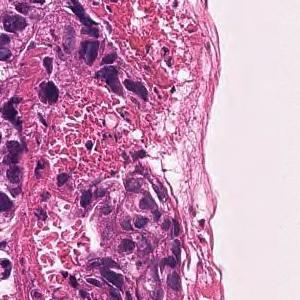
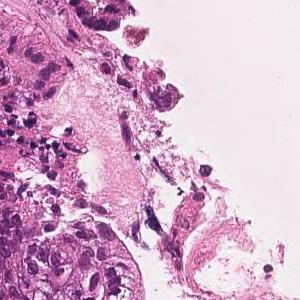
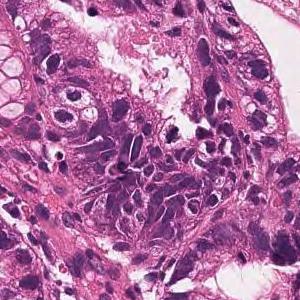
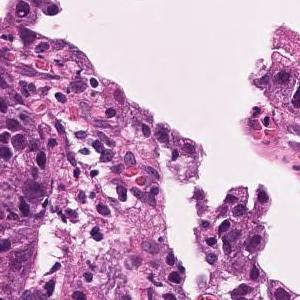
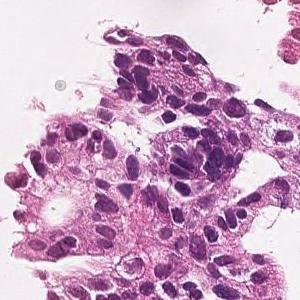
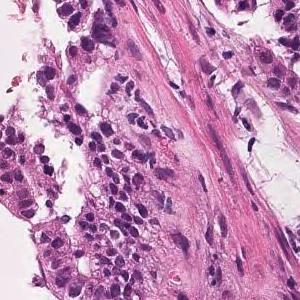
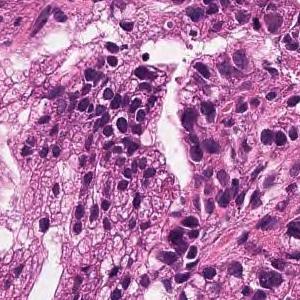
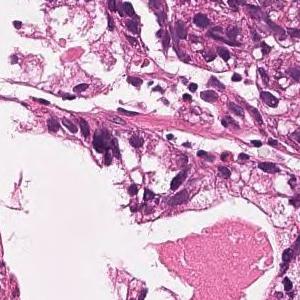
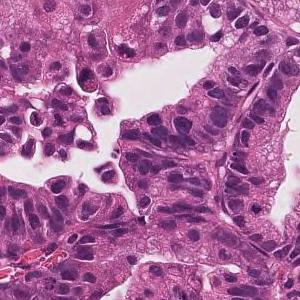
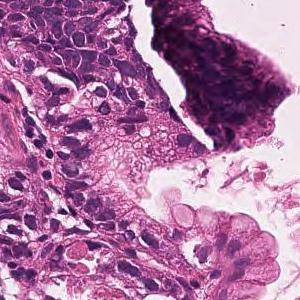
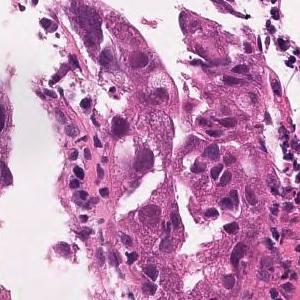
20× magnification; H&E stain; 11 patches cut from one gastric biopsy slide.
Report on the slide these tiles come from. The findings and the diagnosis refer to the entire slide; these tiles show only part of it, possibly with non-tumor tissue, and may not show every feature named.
On the superficial epithelium, tumor tissue consisting of large, irregular glandular ducts partially fused and infiltrated is observed. Well to moderately differentiated tubular adenocarcinoma (well differentiated tubular adenocarcinoma, moderately differentiated tubular adenocarcinoma)
Histological subtype: Well to moderately differentiated tubular adenocarcinoma.
